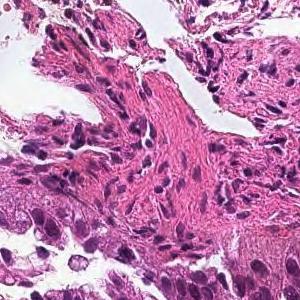
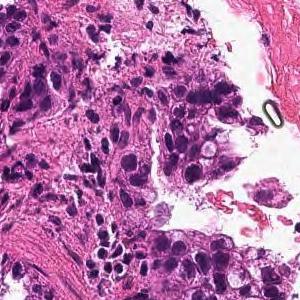
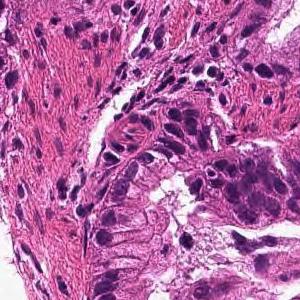
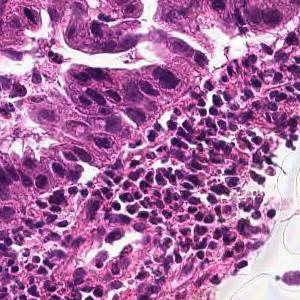
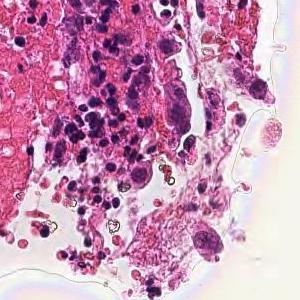
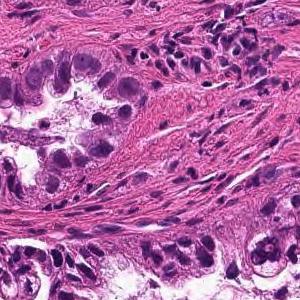
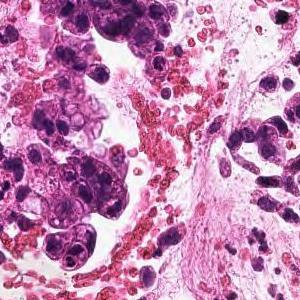
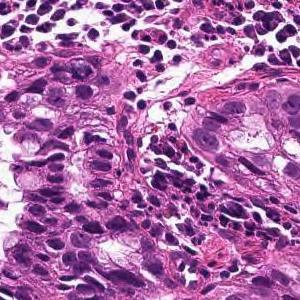
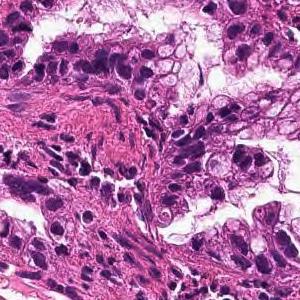
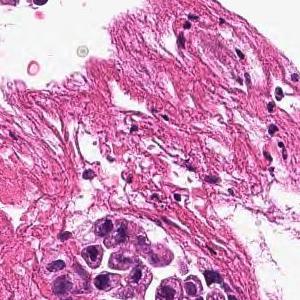
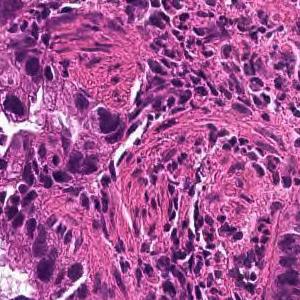
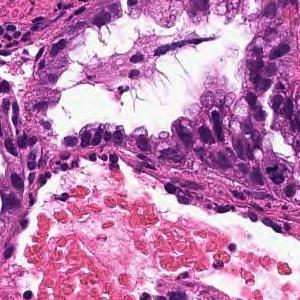
20× magnification; hematoxylin and eosin stain; 12 tiles cut from one stomach biopsy slide; each 300 × 300 pixels.
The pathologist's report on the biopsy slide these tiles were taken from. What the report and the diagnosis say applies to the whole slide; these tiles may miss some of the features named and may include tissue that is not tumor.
From the superficial epithelium to the muscularis mucosae, tumor tissue infiltrating by forming medium-sized irregular gland ducts is observed. Well differentiated tubular adenocarcinoma
